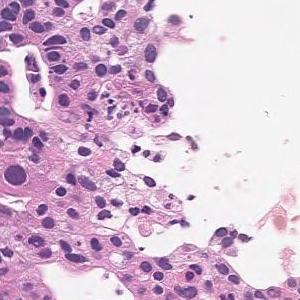
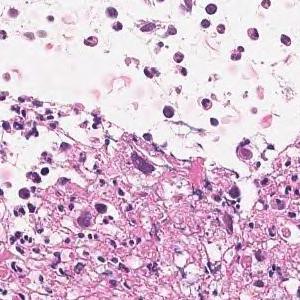
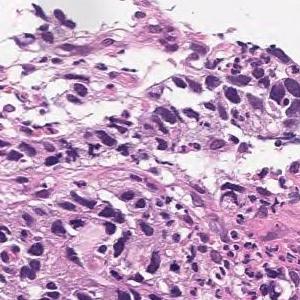
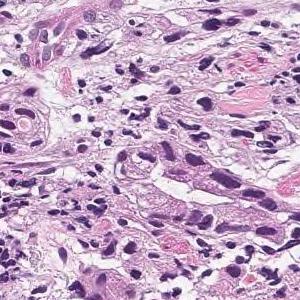
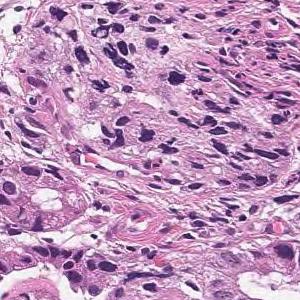
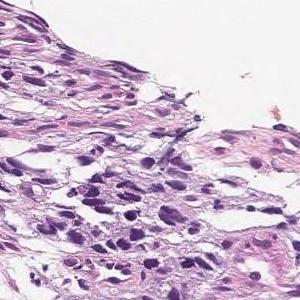
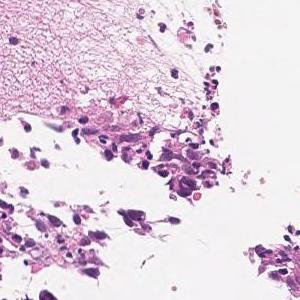
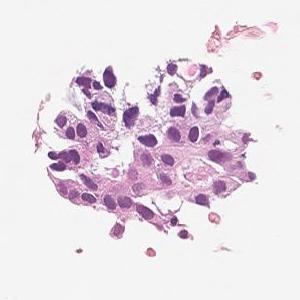
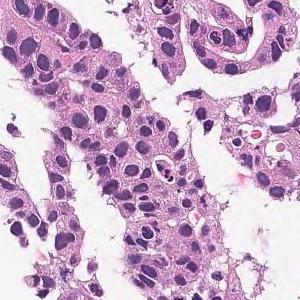
9 tiles from the same stomach biopsy slide; ×20; H&E.
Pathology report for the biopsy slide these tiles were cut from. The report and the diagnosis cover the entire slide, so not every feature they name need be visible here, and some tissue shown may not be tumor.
Tumor tissue that grows by forming gland ducts from the surface layer to the submucosa is observed. moderately differentiated tubular adenocarcinoma
